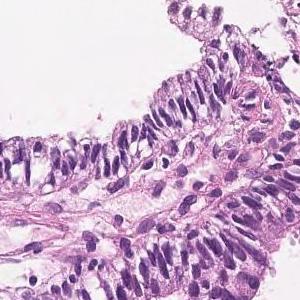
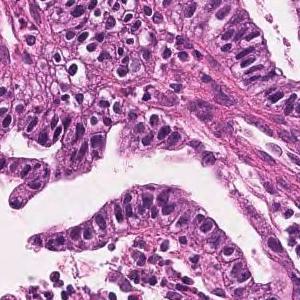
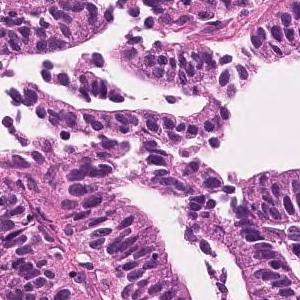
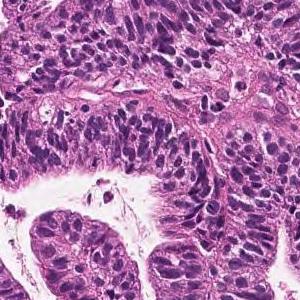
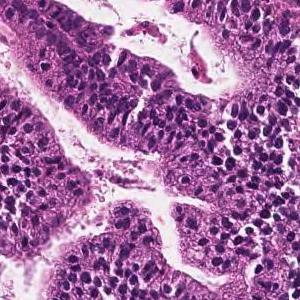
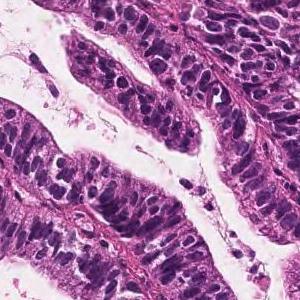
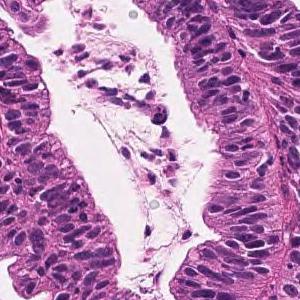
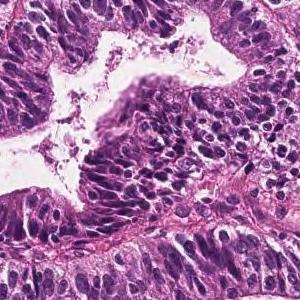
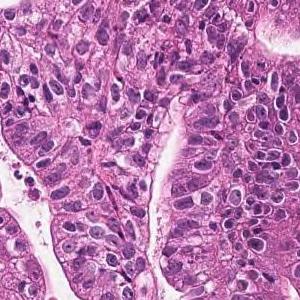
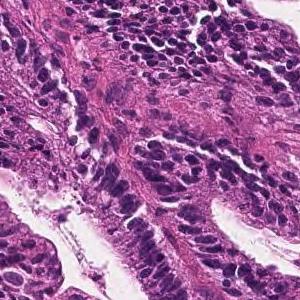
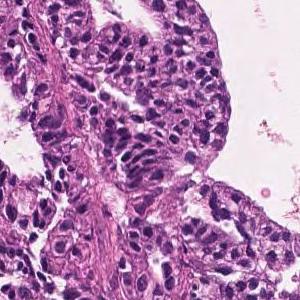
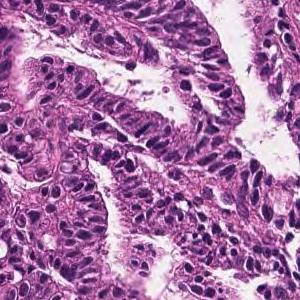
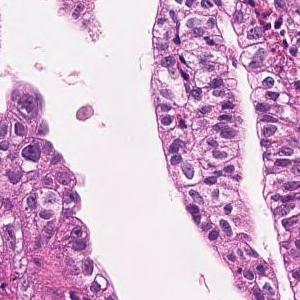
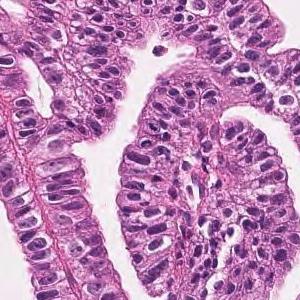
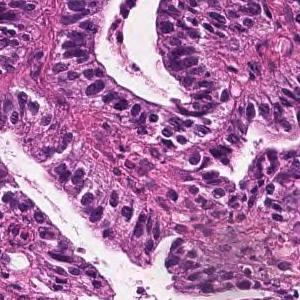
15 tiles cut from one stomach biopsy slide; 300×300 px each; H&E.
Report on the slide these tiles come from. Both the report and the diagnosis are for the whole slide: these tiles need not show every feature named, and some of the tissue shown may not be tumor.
Tumor cells are large, highly columnar, large club-shaped nuclei, and are associated with chromatin aggregation. Papillary adenocarcinoma.
